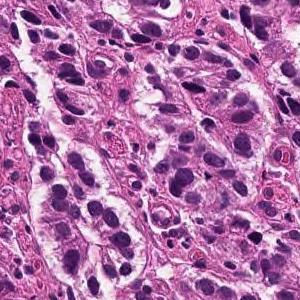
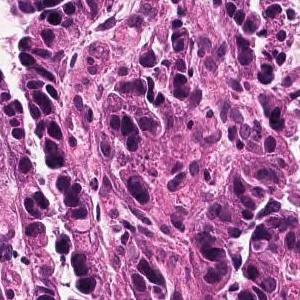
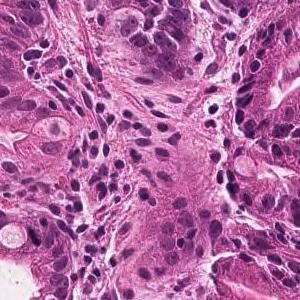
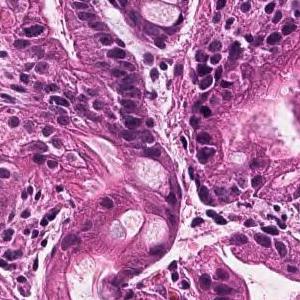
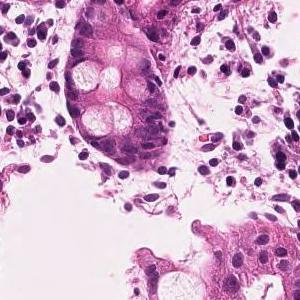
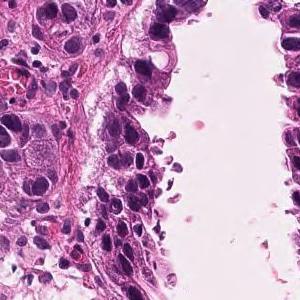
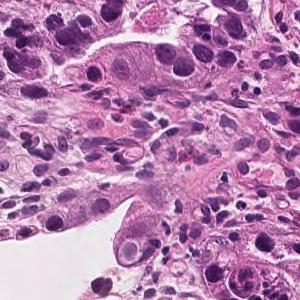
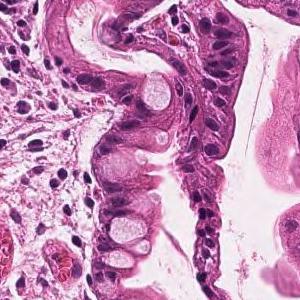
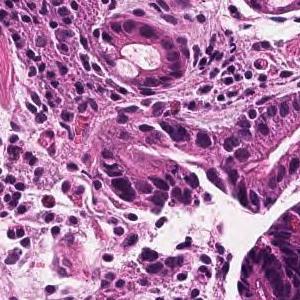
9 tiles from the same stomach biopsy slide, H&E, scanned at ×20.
Pathology report for the biopsy slide these tiles were cut from. What the report and the diagnosis say applies to the whole slide; these tiles may miss some of the features named and may include tissue that is not tumor.
Tumor tissue consisting of medium-sized, cord-like or irregular glandular infiltration is observed in the superficial epithelium. Poorly differentiated adenocarcinoma, non-solid type or moderately differentiated tubular adenocarcinoma
Histologic type: Moderately to poorly differentiated adenocarcinoma.
The term "non-solid type" comes from the Japanese Classification of Gastric Carcinoma.
